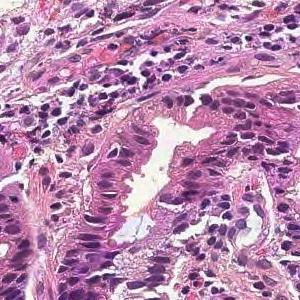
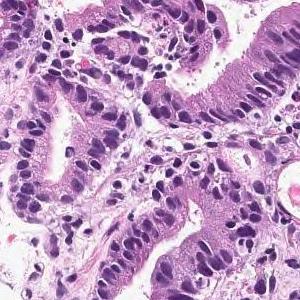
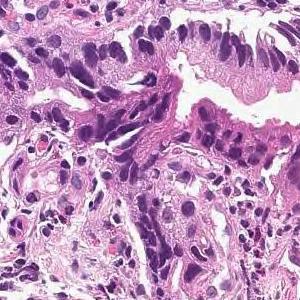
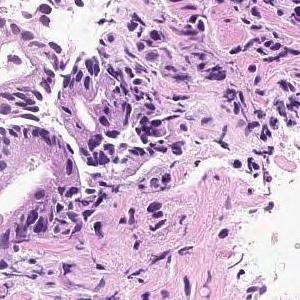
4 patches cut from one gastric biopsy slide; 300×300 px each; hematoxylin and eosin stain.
Pathology report for the slide these tiles were cut from. What the report and the diagnosis say applies to the whole slide; these tiles may miss some of the features named and may include tissue that is not tumor.
In the superficial epithelium, tumor tissue that invades by forming medium-sized to small, irregular ducts is observed. moderately differentiated tubular adenocarcinoma.
